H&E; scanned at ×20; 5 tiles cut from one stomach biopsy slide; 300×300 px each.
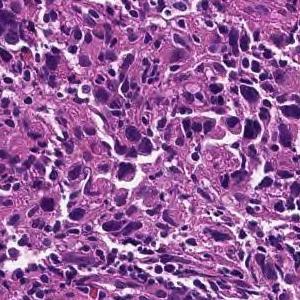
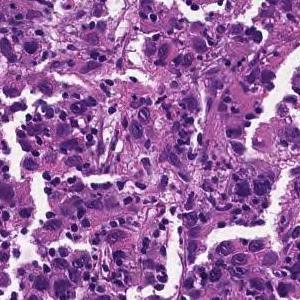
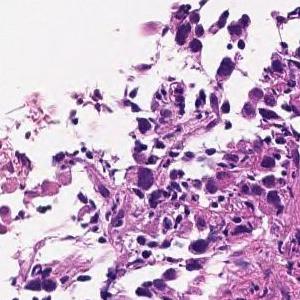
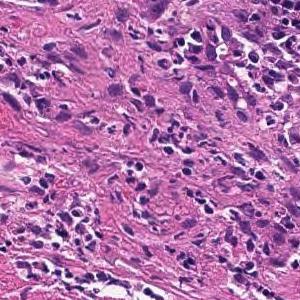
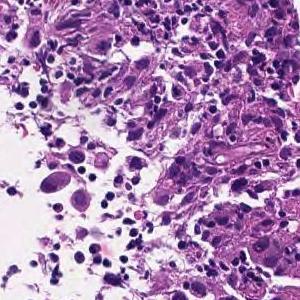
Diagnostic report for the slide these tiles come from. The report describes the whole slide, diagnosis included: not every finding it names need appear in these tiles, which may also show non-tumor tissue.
The superficial epithelium shows a large sheet-like shape, and some tumor tissue infiltrates with small irregular ducts. Poorly differentiated adenocarcinoma, solid-type (poorly differentiated adenocarcinoma, solid type)
Tumor subtype: poorly differentiated adenocarcinoma, solid type. This name comes from the Japanese Classification of Gastric Carcinoma; the WHO 2019 classification calls it tubular adenocarcinoma, poorly differentiated.
